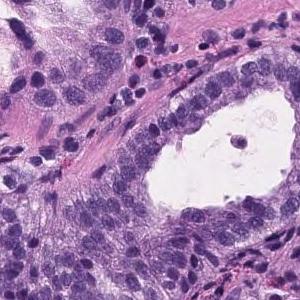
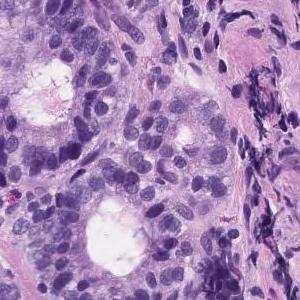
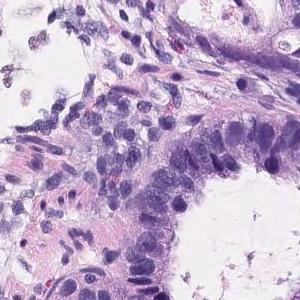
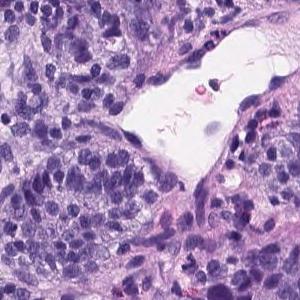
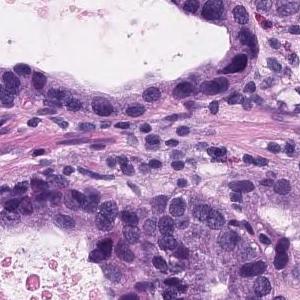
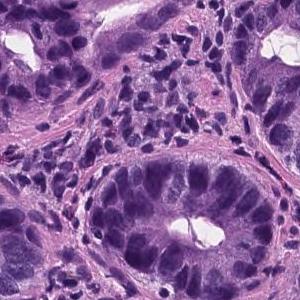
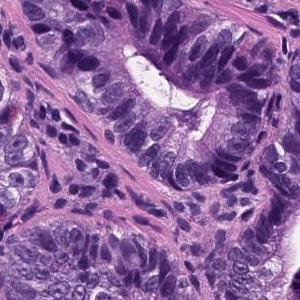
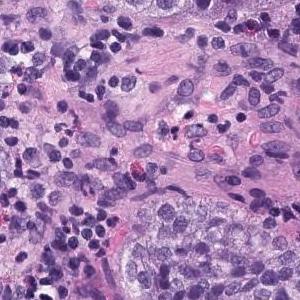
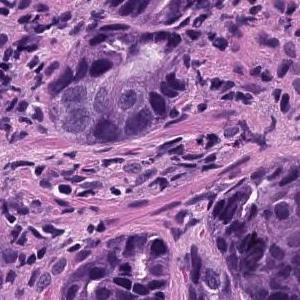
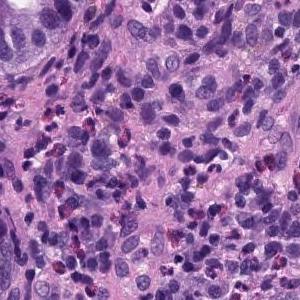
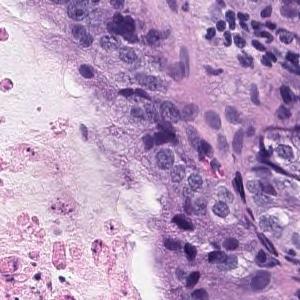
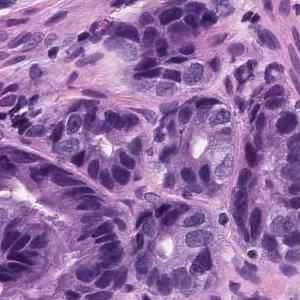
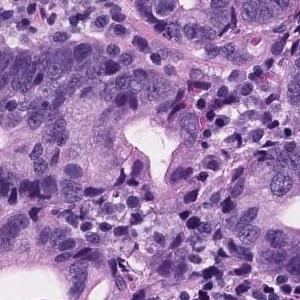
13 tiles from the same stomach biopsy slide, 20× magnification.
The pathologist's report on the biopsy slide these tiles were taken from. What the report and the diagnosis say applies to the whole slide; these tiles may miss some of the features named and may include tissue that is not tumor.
Tumor tissue consisting of medium-sized and irregular ducts is observed infiltrating in the superficial epithelium. Tumor cells are highly columnar, with nuclei aligned basolaterally and polarized. Well differentiated tubular adenocarcinoma.
